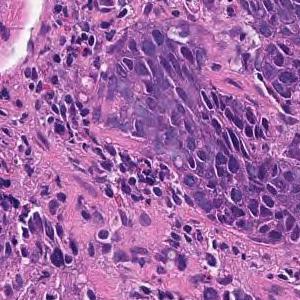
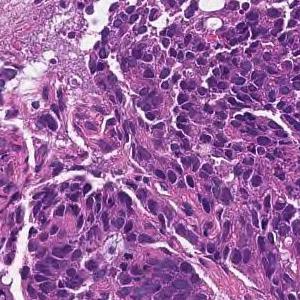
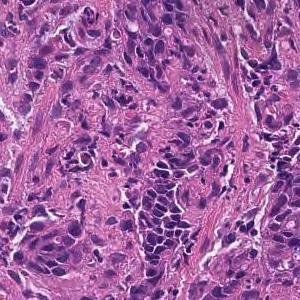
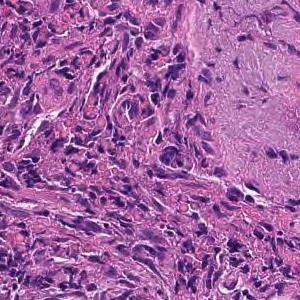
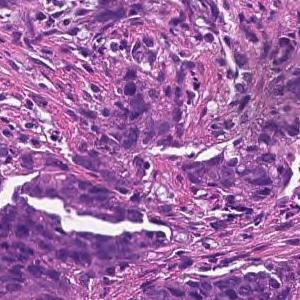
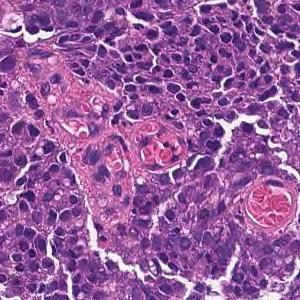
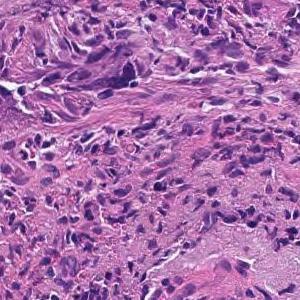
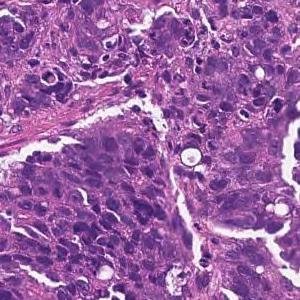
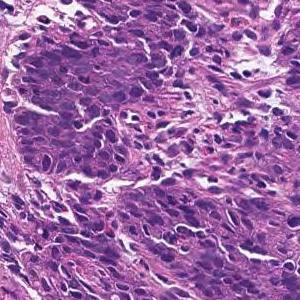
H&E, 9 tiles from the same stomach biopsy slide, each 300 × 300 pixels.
Pathology report for the slide these tiles were cut from. The findings and the diagnosis refer to the entire slide; these tiles show only part of it, possibly with non-tumor tissue, and may not show every feature named.
Tumor tissue consisting of cord-like or small, irregular glandular ducts fused and infiltrated is observed in the superficial epithelium. Poorly differentiated adenocarcinoma, non-solid type
The non-solid type named here is a Japanese Classification of Gastric Carcinoma category.
